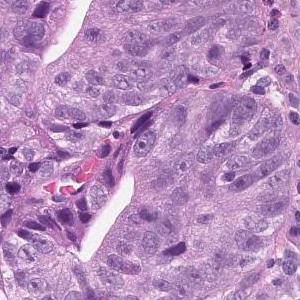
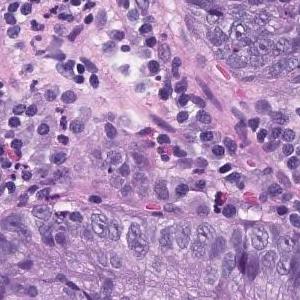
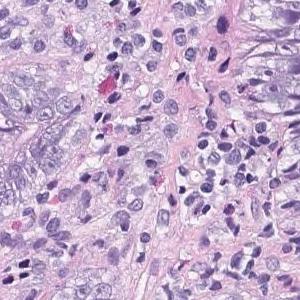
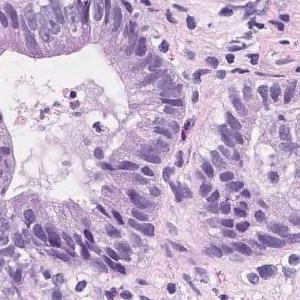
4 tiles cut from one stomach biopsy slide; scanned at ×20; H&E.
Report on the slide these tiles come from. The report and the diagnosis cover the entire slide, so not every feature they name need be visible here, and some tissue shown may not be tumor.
On the superficial epithelium, tumor tissue consisting of medium to small irregular tubules partially fused and proliferated is observed. moderately differentiated tubular adenocarcinoma
